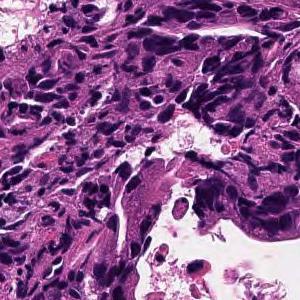
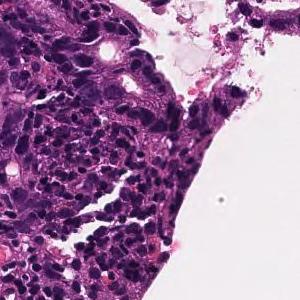
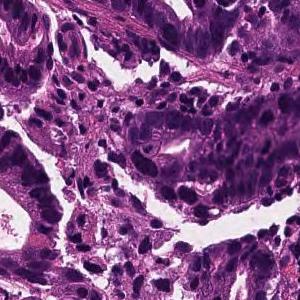
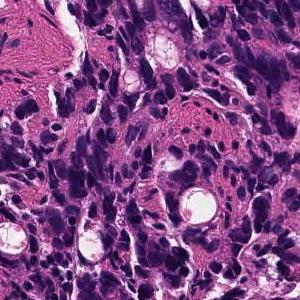
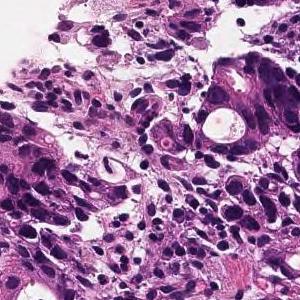
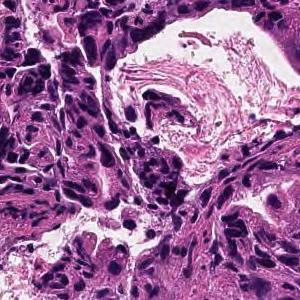
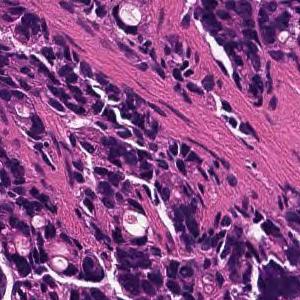
H&E stain · 7 image tiles from a single gastric biopsy slide.
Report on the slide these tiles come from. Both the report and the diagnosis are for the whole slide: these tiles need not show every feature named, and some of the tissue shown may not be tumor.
In the superficial epithelium, tumor tissue that invades by forming medium-sized to small, irregular ducts is observed. moderately differentiated tubular adenocarcinoma.
